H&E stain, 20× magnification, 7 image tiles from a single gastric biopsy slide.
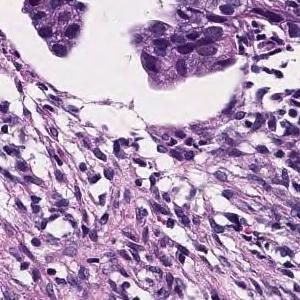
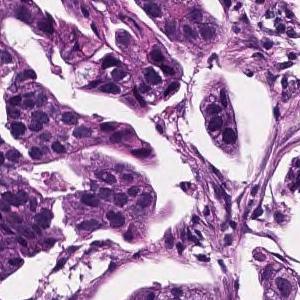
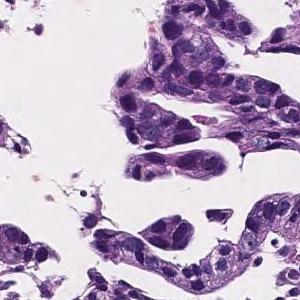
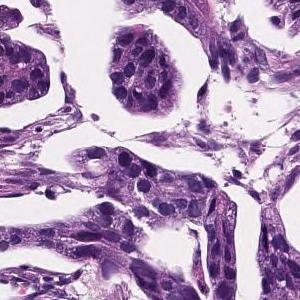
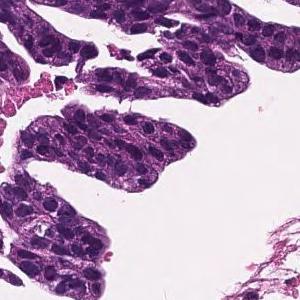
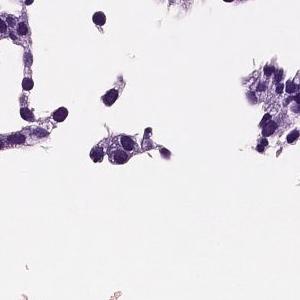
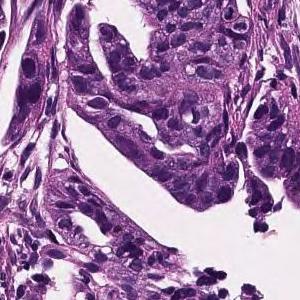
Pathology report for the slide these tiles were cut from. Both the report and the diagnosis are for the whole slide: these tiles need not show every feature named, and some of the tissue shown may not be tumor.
In the lamina propria, tumor tissue that invades by forming medium-sized to small, irregular glandular ducts is observed. moderately differentiated tubular adenocarcinoma
